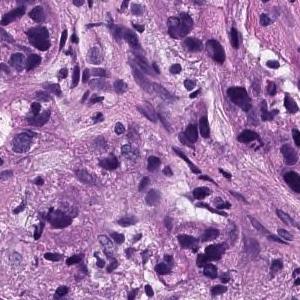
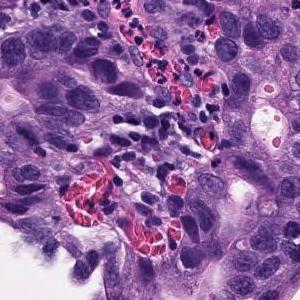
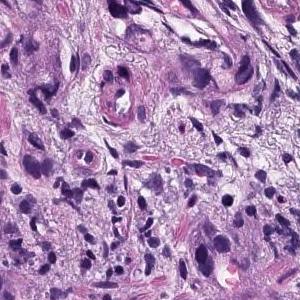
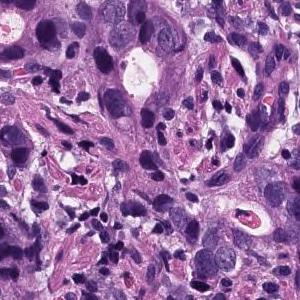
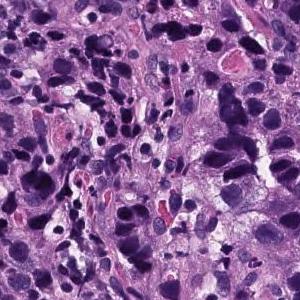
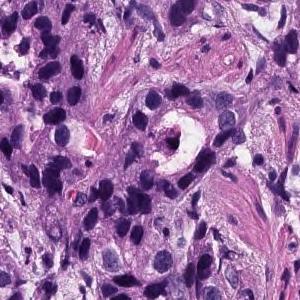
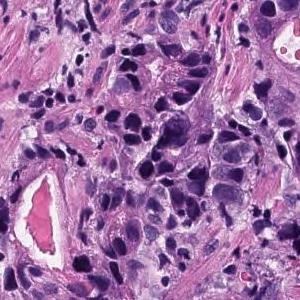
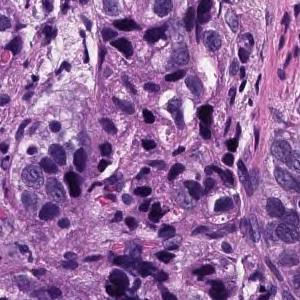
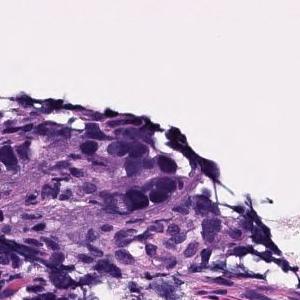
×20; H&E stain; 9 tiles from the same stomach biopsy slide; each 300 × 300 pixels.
Pathology report for the biopsy slide these tiles were cut from. Both the report and the diagnosis are for the whole slide: these tiles need not show every feature named, and some of the tissue shown may not be tumor.
In the epithelium, tumor tissue in which medium to small irregular gland ducts fuse with each other and infiltrate the submucosa. moderately differentiated tubular adenocarcinoma
